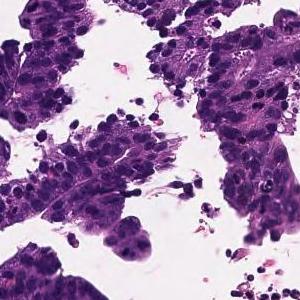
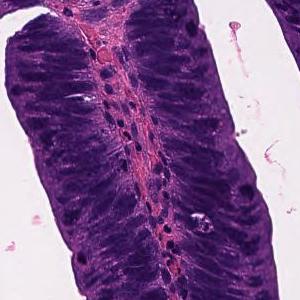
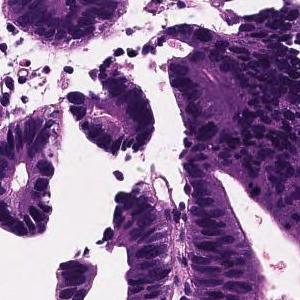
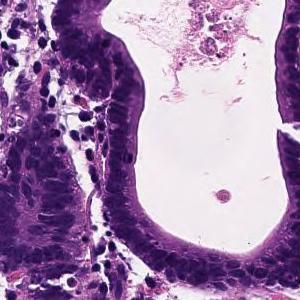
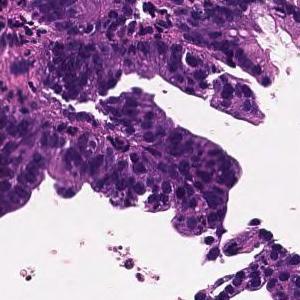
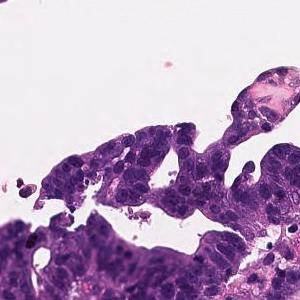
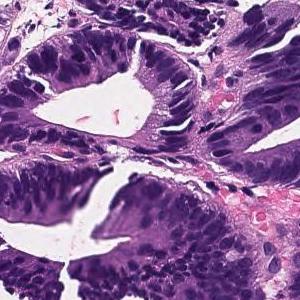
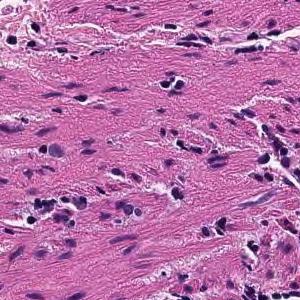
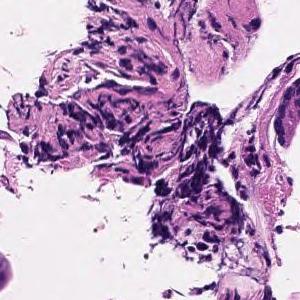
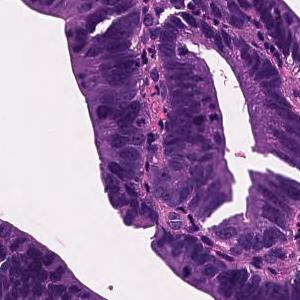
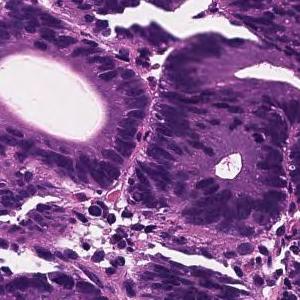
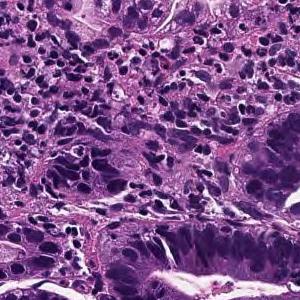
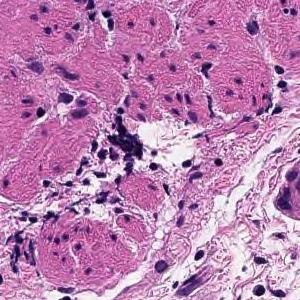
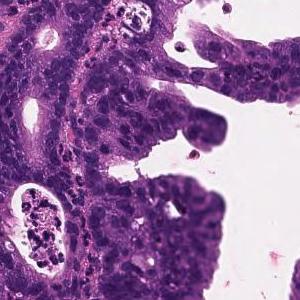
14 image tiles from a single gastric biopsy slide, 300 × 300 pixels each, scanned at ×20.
Report on the slide these tiles come from. Both the report and the diagnosis are for the whole slide: these tiles need not show every feature named, and some of the tissue shown may not be tumor.
Tumor tissue consisting of large papillary structures is found in the superficial epithelium. Papillary adenocarcinoma.
